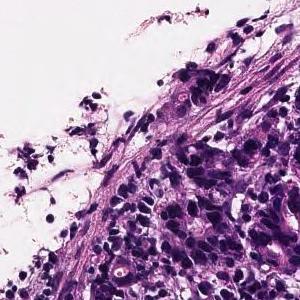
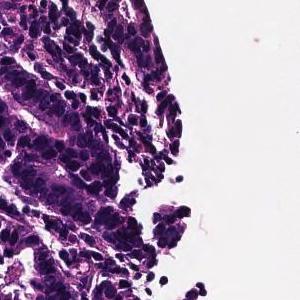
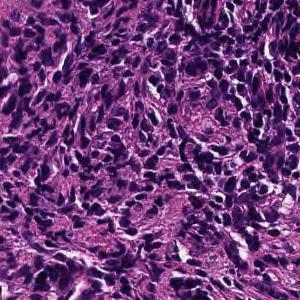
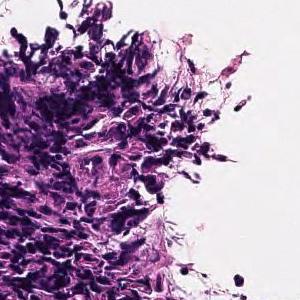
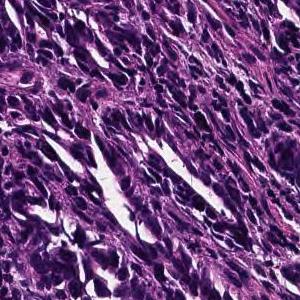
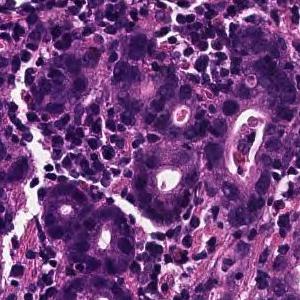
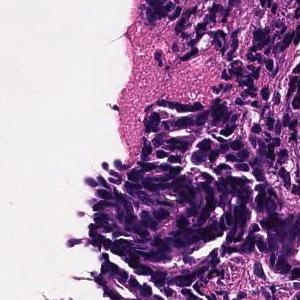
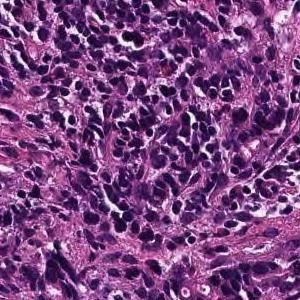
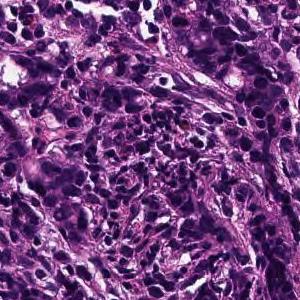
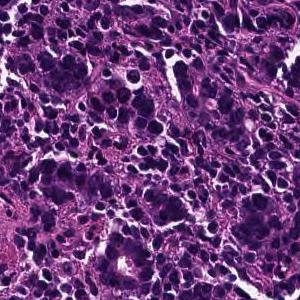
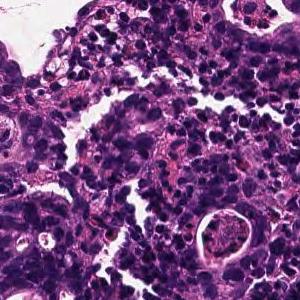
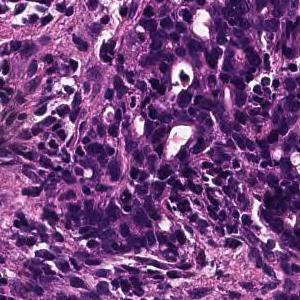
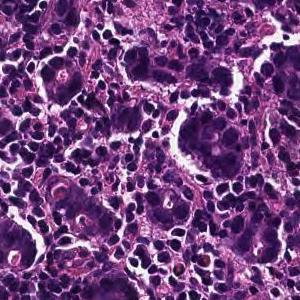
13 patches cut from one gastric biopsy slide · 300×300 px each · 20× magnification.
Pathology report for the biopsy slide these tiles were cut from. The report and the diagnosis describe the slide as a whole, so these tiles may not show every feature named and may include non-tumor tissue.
On the superficial epithelium, tumor tissue is found in which medium-sized irregular gland ducts fuse with each other and infiltrate. moderately differentiated tubular adenocarcinoma or Poorly differentiated adenocarcinoma, non-solid type
Histological subtype: Moderately to poorly differentiated adenocarcinoma.
The non-solid type named here is a Japanese Classification of Gastric Carcinoma category.
